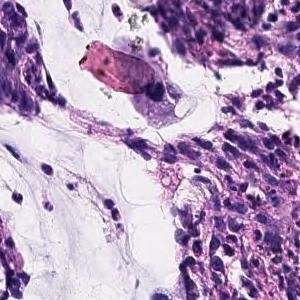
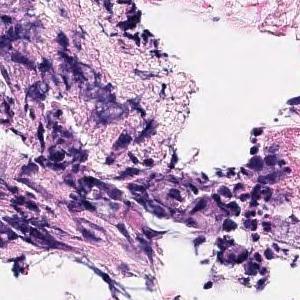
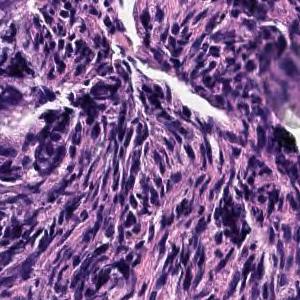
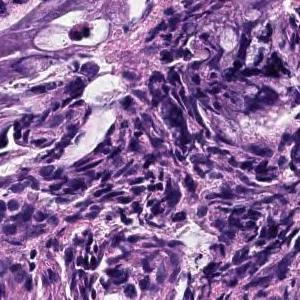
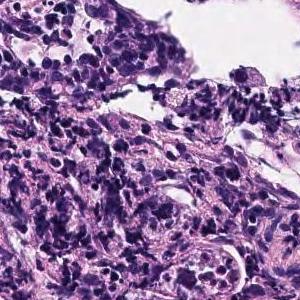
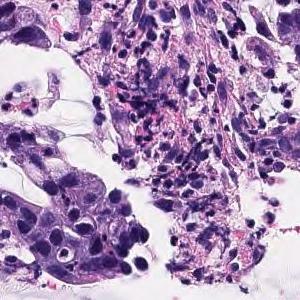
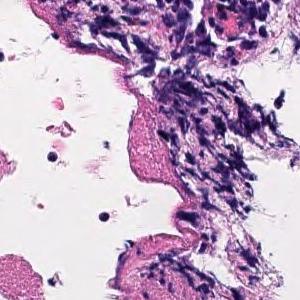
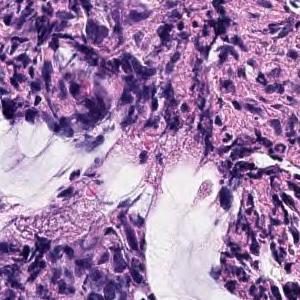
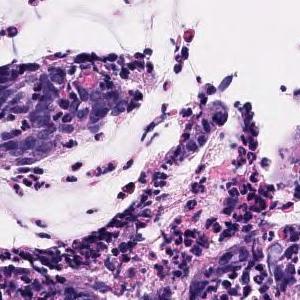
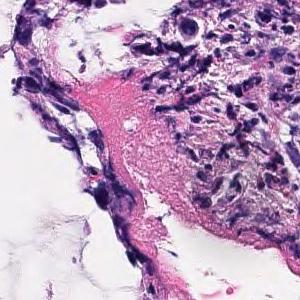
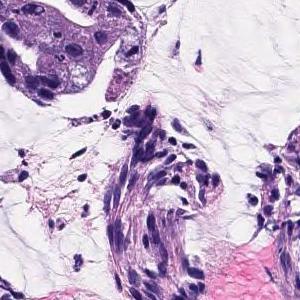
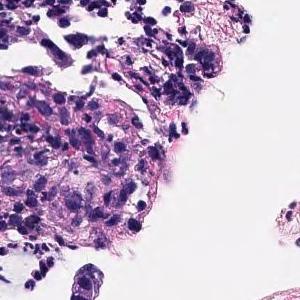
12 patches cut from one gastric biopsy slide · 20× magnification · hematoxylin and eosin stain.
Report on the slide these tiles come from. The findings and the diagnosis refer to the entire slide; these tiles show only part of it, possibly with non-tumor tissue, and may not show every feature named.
The superficial epithelium shows small cord-like infiltrating tumor tissue. Some part of neoplastic cells are signet ring cell type which show single invasion manner. Poorly differentiated adenocarcinoma, non-solid type.
The non-solid type named here is a Japanese Classification of Gastric Carcinoma category.
